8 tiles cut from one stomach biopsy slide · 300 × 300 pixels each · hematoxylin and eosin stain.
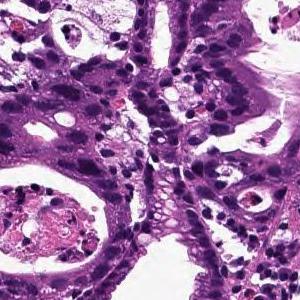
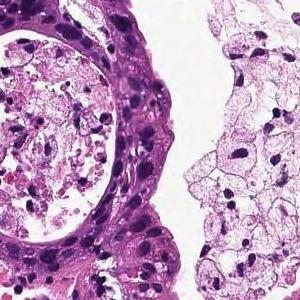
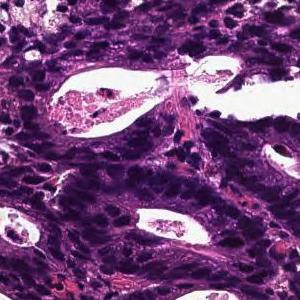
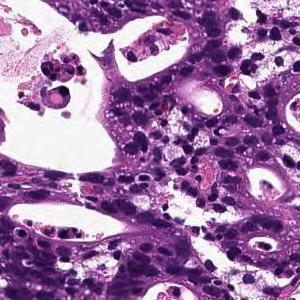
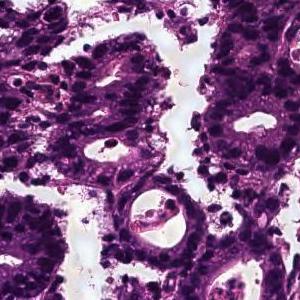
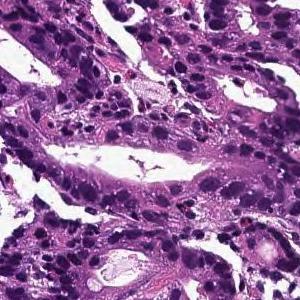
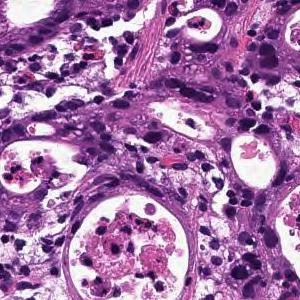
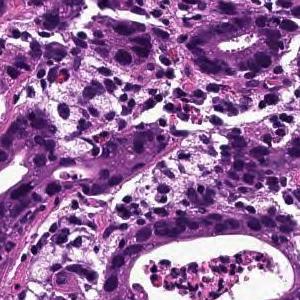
Pathology report for the biopsy slide these tiles were cut from. What the report and the diagnosis say applies to the whole slide; these tiles may miss some of the features named and may include tissue that is not tumor.
In the superficial epithelium, tumor tissue that invades by forming medium-sized to small, irregular ducts is observed. moderately differentiated tubular adenocarcinoma.
